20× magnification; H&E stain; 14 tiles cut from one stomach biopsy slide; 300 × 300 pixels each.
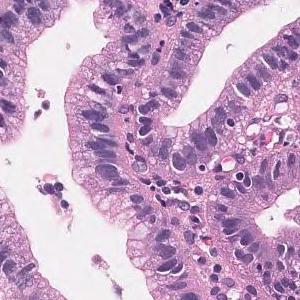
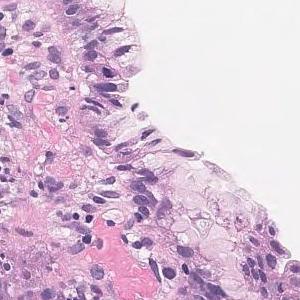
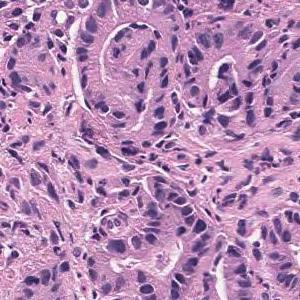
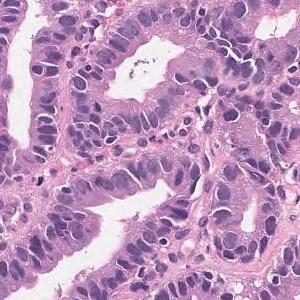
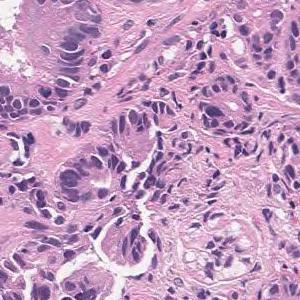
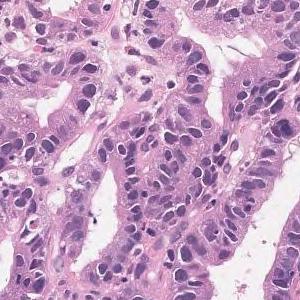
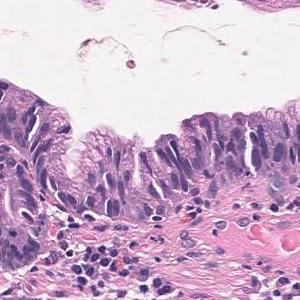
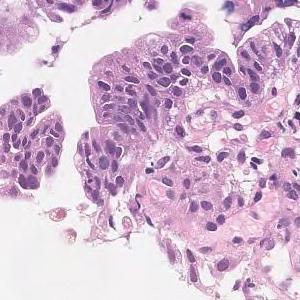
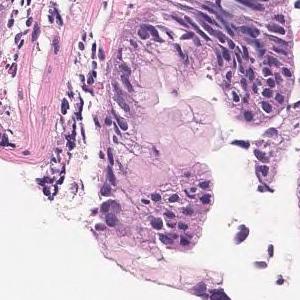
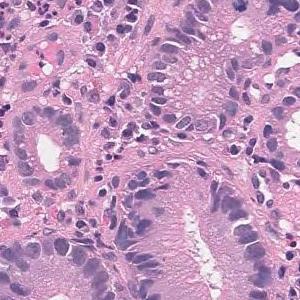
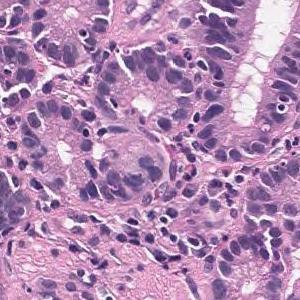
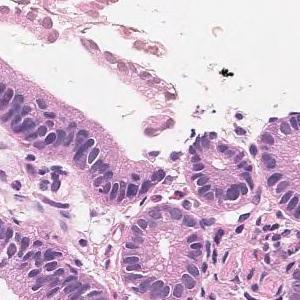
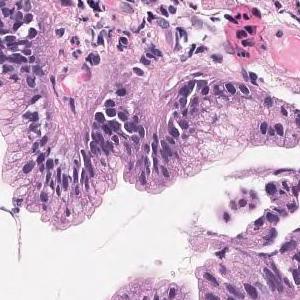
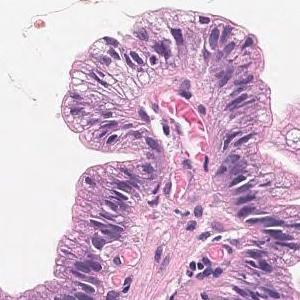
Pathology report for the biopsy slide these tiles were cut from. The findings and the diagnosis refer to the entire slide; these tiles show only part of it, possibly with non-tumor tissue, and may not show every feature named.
Tumor tissue that grows tubular from the surface to the glandular fossa is seen. Adenocarcinoma.
Histological subtype: Well differentiated tubular adenocarcinoma.
